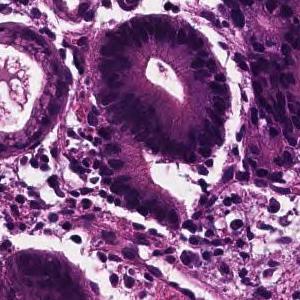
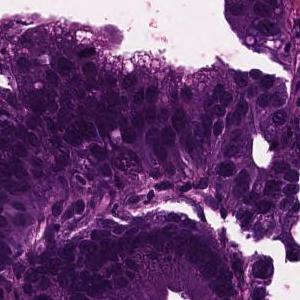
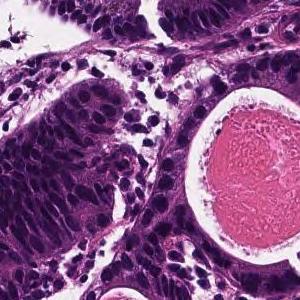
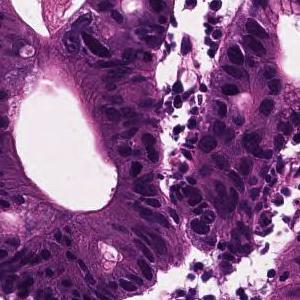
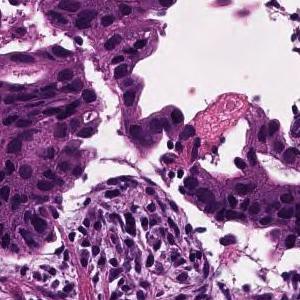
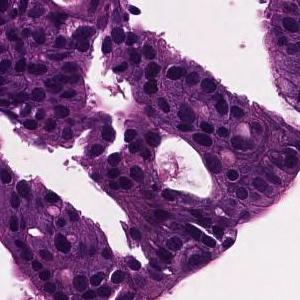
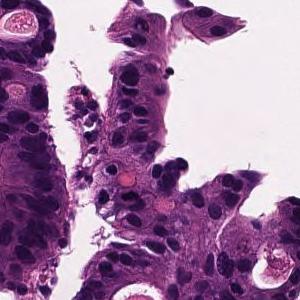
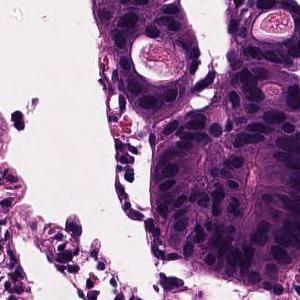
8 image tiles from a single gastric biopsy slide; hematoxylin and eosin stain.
Report on the slide these tiles come from. The report and the diagnosis cover the entire slide, so not every feature they name need be visible here, and some tissue shown may not be tumor.
In the superficial epithelium, tumor tissue that invades by forming medium-sized to small, irregular ducts is observed. moderately differentiated tubular adenocarcinoma.
